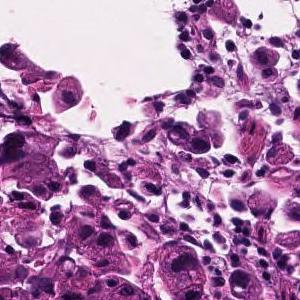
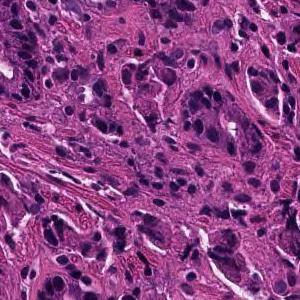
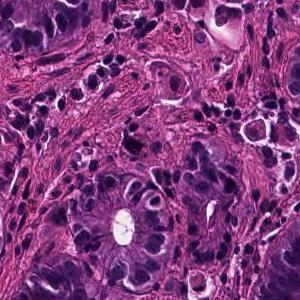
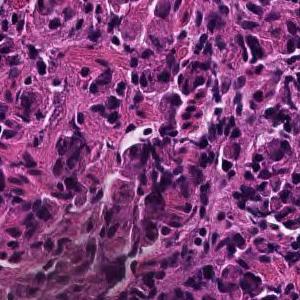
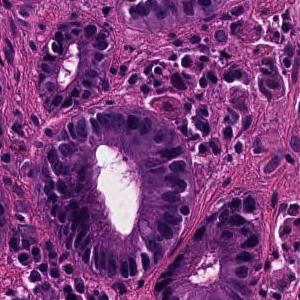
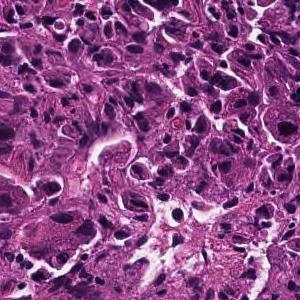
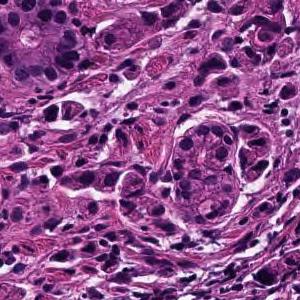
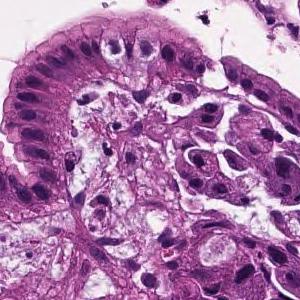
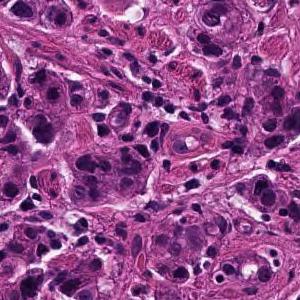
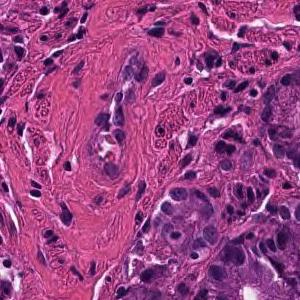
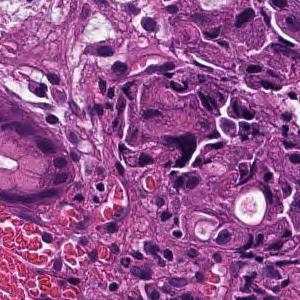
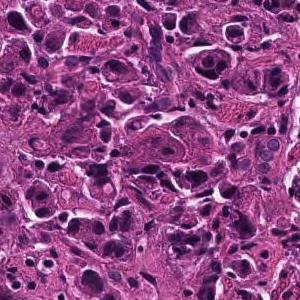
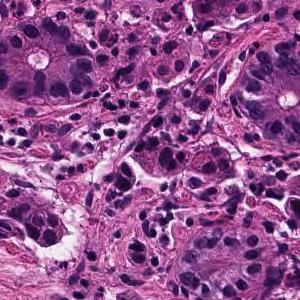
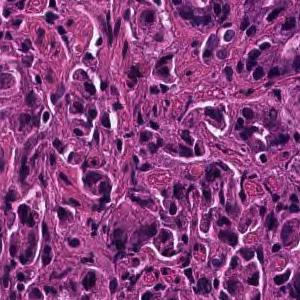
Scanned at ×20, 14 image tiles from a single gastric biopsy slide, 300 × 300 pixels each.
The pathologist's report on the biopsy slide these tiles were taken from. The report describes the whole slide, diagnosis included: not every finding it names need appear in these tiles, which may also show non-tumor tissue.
Tumor tissue consisting of cord-like or small, irregular glandular ducts fused and infiltrated is observed in the superficial epithelium. Poorly differentiated adenocarcinoma, non-solid type
The term "non-solid type" comes from the Japanese Classification of Gastric Carcinoma.
